H&E · scanned at ×20 · 5 tiles from the same stomach biopsy slide · each 300 × 300 pixels.
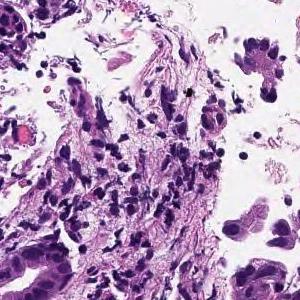
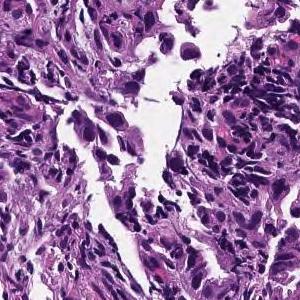
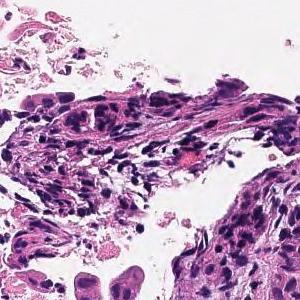
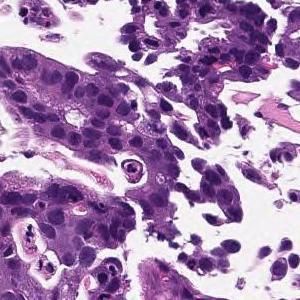
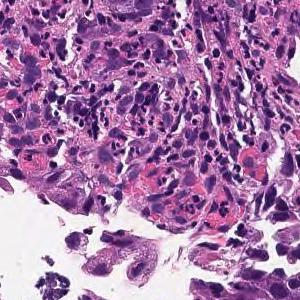
Pathology report for the biopsy slide these tiles were cut from. Both the report and the diagnosis are for the whole slide: these tiles need not show every feature named, and some of the tissue shown may not be tumor.
In the superficial epithelium, tumor tissue that invades by forming medium-sized to small, irregular ducts is observed. moderately differentiated tubular adenocarcinoma.
